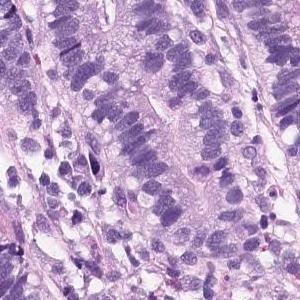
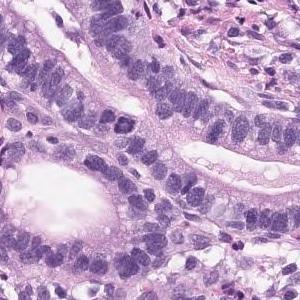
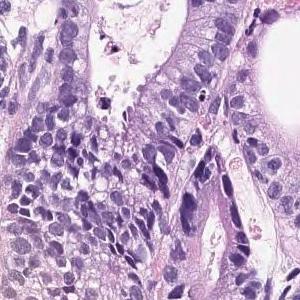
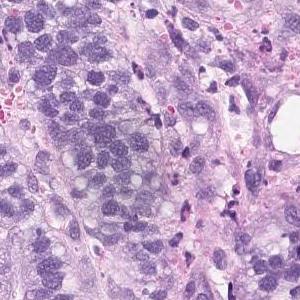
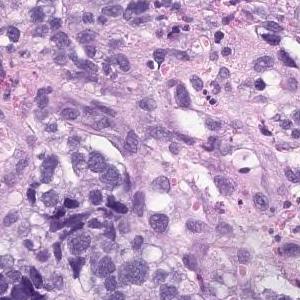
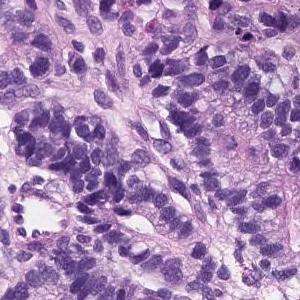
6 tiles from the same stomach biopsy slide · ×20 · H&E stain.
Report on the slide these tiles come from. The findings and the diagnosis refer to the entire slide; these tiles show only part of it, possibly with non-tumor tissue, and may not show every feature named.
Hyperplasia of atypical epithelial cells with swelling of the nucleus is observed. Moderately diffentiated tubular adenocarcinoma
Classified as moderately differentiated tubular adenocarcinoma.
